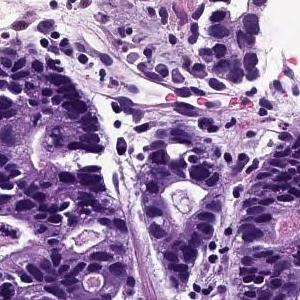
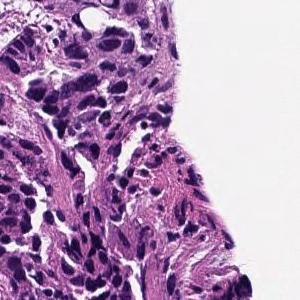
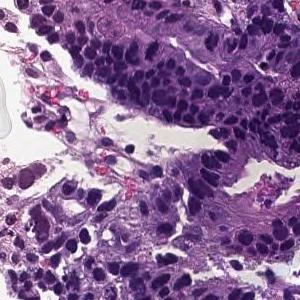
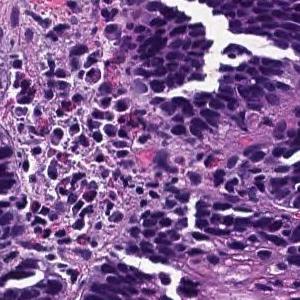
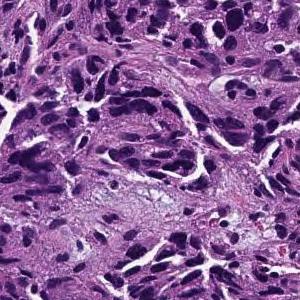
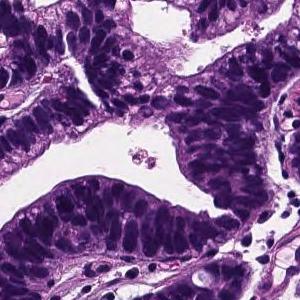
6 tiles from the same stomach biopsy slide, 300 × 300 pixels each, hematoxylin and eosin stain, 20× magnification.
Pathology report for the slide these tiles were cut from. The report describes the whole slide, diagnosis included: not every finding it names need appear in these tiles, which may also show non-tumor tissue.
From the superficial epithelium to the muscularis mucosae, tumor tissue consisting of medium-sized and irregular glandular ducts infiltrating is observed. Well differentiated tubular adenocarcinoma
